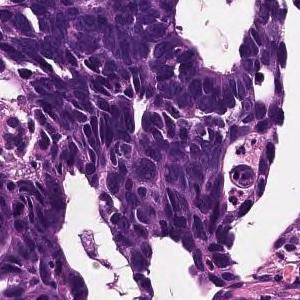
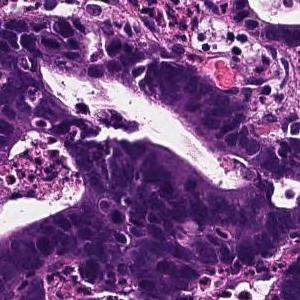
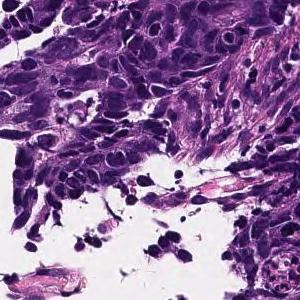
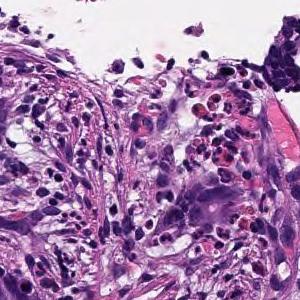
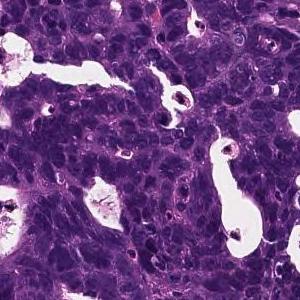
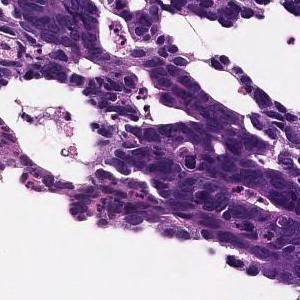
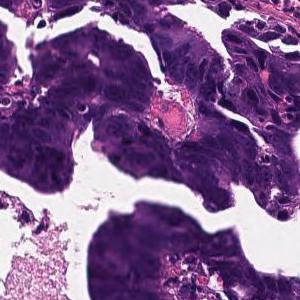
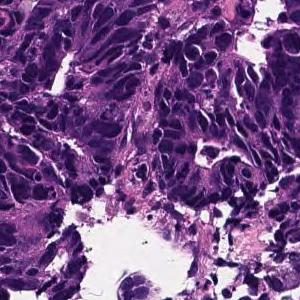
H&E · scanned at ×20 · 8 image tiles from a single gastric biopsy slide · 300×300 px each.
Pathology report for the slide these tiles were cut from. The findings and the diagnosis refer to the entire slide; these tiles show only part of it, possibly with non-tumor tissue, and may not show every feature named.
In the superficial epithelium, tumor tissue that invades by forming medium-sized to small, irregular ducts is observed. moderately differentiated tubular adenocarcinoma.
